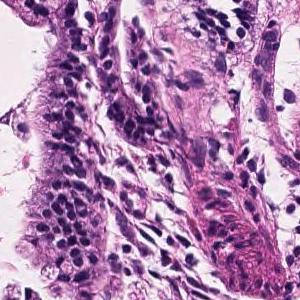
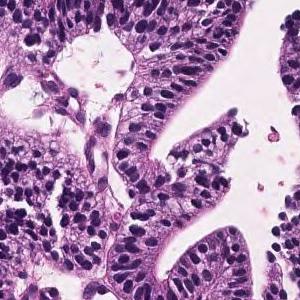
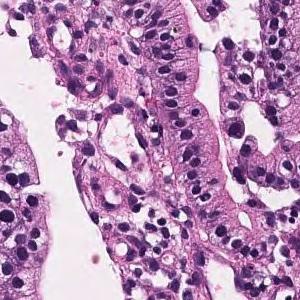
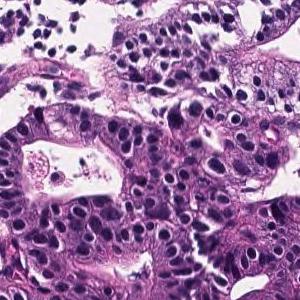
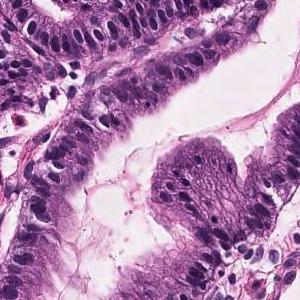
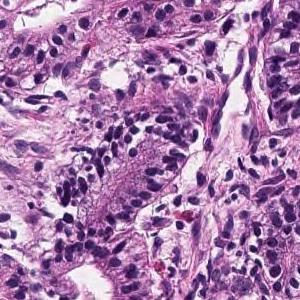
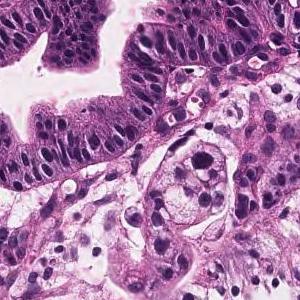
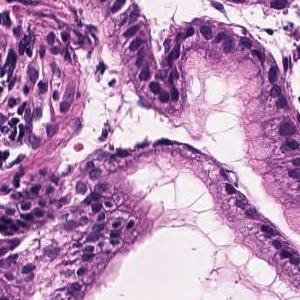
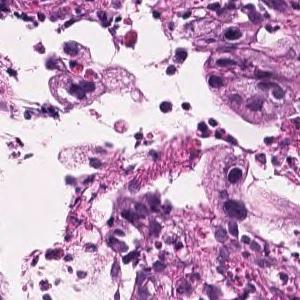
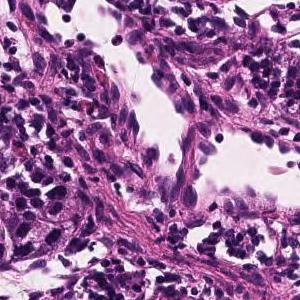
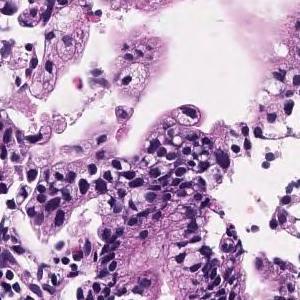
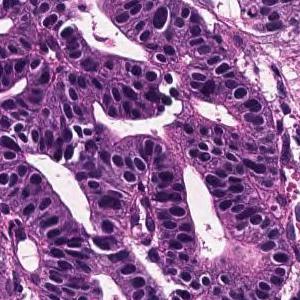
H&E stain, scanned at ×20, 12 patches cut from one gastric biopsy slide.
Report on the slide these tiles come from. The findings and the diagnosis refer to the entire slide; these tiles show only part of it, possibly with non-tumor tissue, and may not show every feature named.
Tumor tissue consisting of large papillary structures or irregular glandular ducts partially fused and infiltrated is observed in the superficial epithelium. Well to moderately differentiated tubular adenocarcinoma.
Labeled in the dataset as moderately differentiated tubular adenocarcinoma.
